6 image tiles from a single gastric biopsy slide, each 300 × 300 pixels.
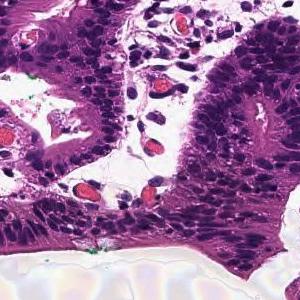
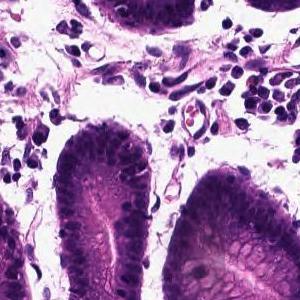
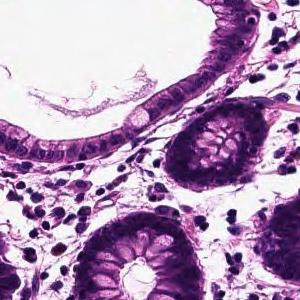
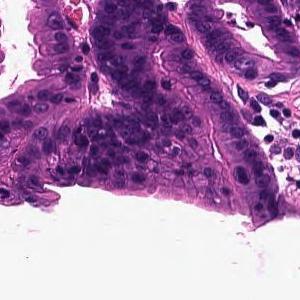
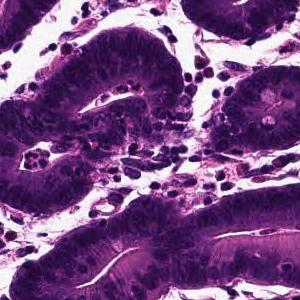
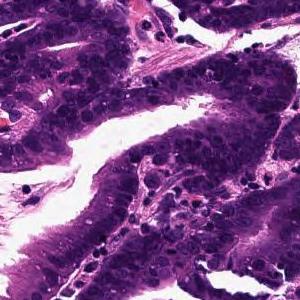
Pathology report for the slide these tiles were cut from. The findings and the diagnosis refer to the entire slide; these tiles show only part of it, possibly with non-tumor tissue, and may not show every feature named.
Tumor tissue that infiltrates by forming large papillary or large irregular glandular ducts is observed confined to the mucosa. Papillary adenocarcinoma
